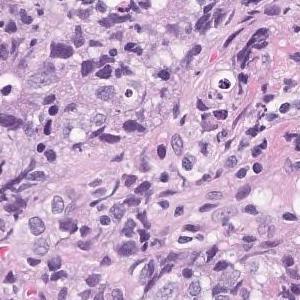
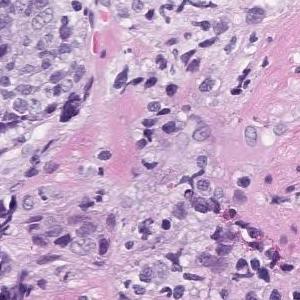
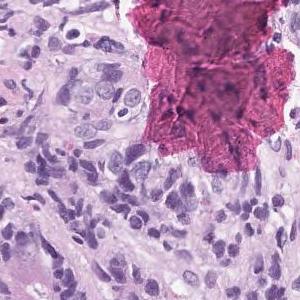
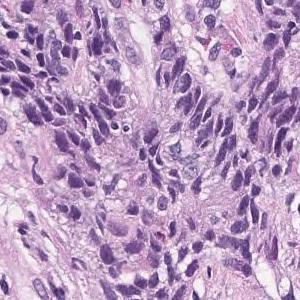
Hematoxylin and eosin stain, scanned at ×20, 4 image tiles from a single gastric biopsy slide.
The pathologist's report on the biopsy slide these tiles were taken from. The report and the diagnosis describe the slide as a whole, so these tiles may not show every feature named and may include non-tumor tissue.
Highly columnar epithelium with disordered nuclear localization proliferates showing fusion ductal construction. moderately differentiated tubular adenocarcinoma
